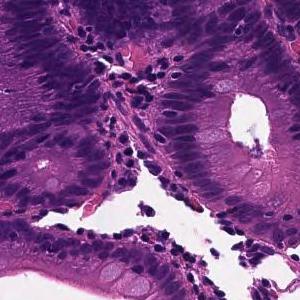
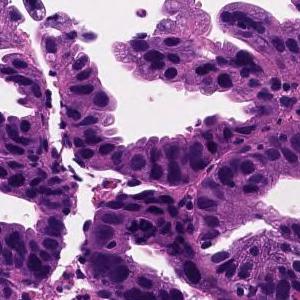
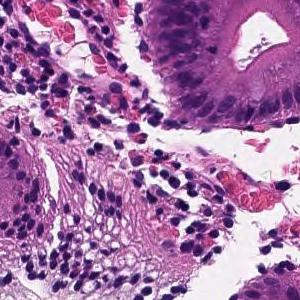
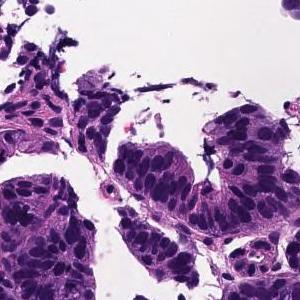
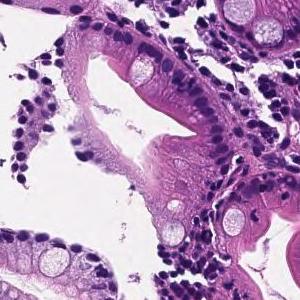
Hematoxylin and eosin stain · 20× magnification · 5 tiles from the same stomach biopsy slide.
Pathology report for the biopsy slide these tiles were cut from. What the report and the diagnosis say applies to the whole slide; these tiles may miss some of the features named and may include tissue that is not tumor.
Tumor tissue in which medium to small irregular ducts infiltrate and proliferate in the submucosa can be seen in the epithelium. Well differentiated tubular adenocarcinoma
